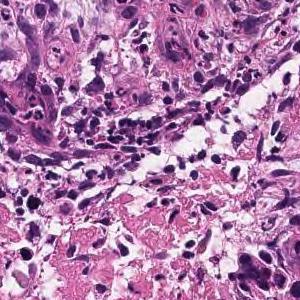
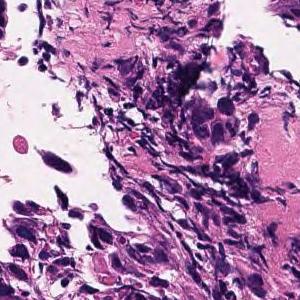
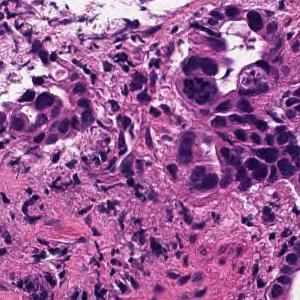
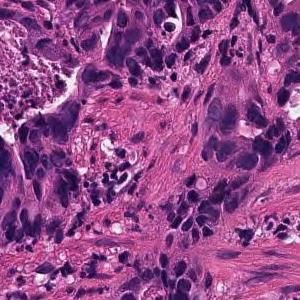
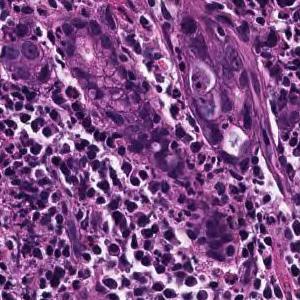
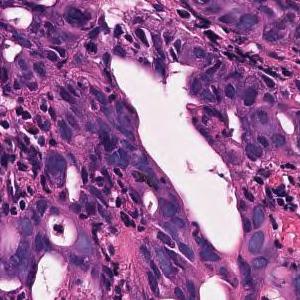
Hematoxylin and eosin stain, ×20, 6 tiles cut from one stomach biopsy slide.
Pathology report for the slide these tiles were cut from. What the report and the diagnosis say applies to the whole slide; these tiles may miss some of the features named and may include tissue that is not tumor.
In the superficial epithelium, medium-sized to small irregular glandular ducts are formed, and in some cases, the glandular ducts are fused or small cord-like infiltrating tumor tissue is observed. moderately differentiated tubular adenocarcinoma
